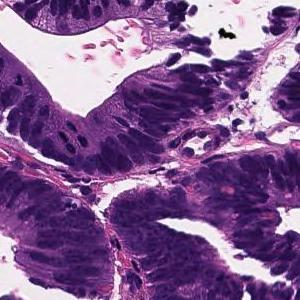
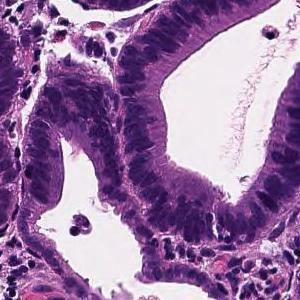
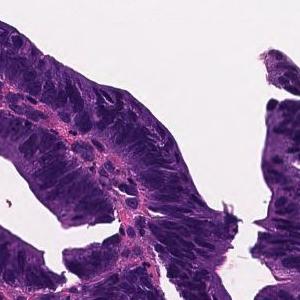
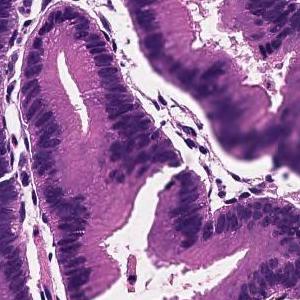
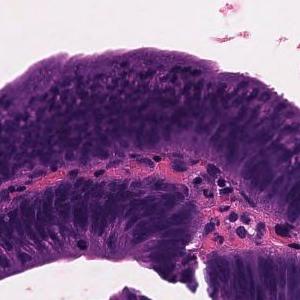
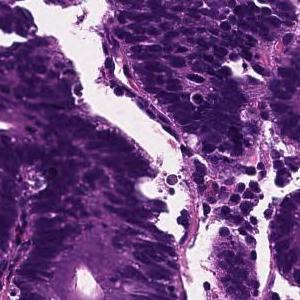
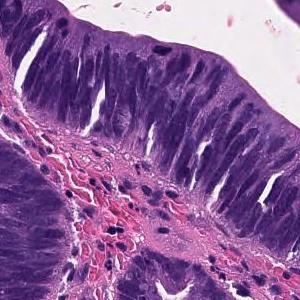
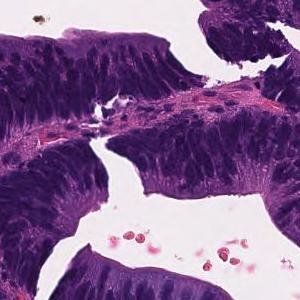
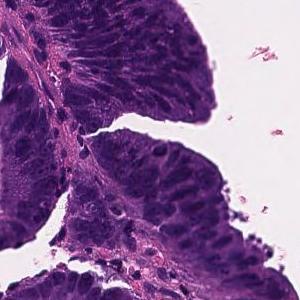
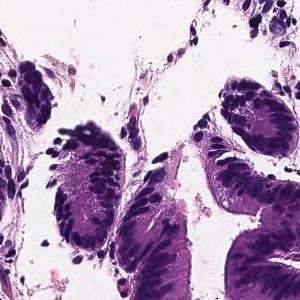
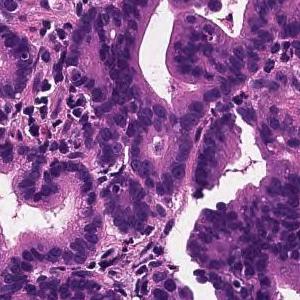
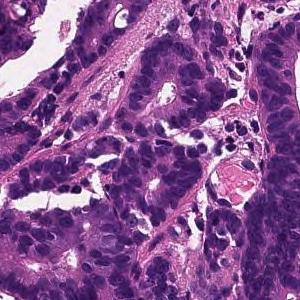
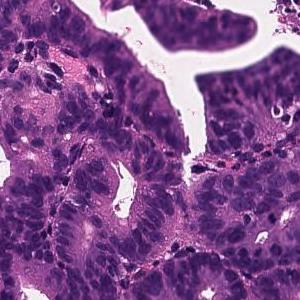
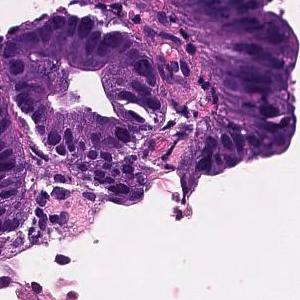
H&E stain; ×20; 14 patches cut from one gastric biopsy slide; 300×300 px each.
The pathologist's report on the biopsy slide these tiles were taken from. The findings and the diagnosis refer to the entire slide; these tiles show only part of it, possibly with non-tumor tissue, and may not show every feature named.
Tumor tissue consisting of large papillary structures is found in the superficial epithelium. Papillary adenocarcinoma.
